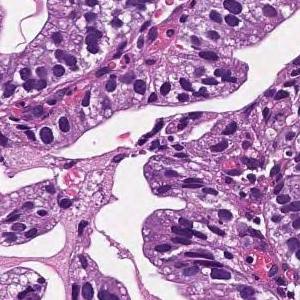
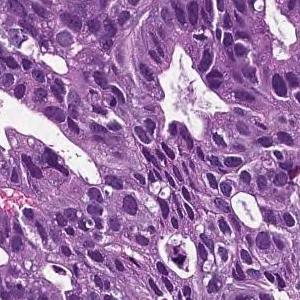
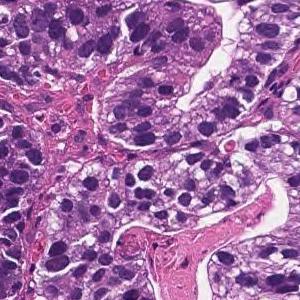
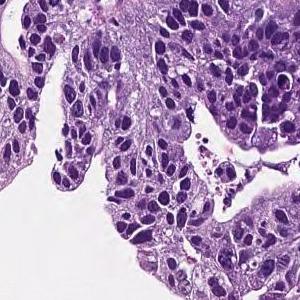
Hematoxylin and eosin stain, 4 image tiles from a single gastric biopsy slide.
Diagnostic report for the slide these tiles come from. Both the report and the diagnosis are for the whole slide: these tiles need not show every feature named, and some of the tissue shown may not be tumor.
On the superficial epithelium, tumor tissue consisting of large, irregular glandular ducts partially fused and infiltrated is observed. Well to moderately differentiated tubular adenocarcinoma (well differentiated tubular adenocarcinoma, moderately differentiated tubular adenocarcinoma)
Classified as well to moderately differentiated tubular adenocarcinoma.
